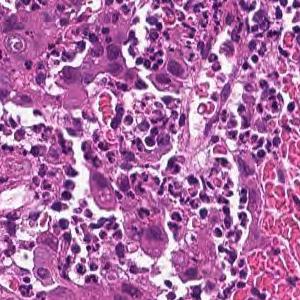
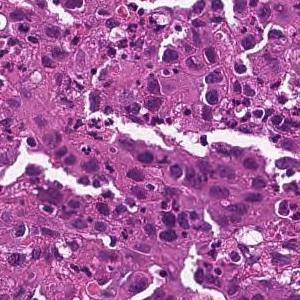
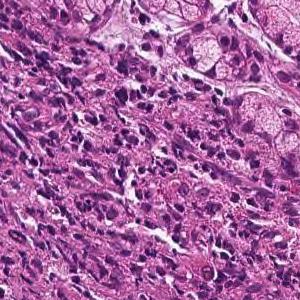
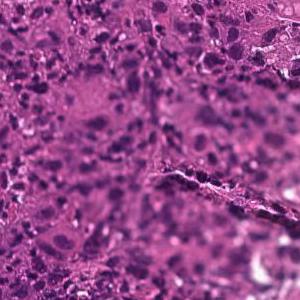
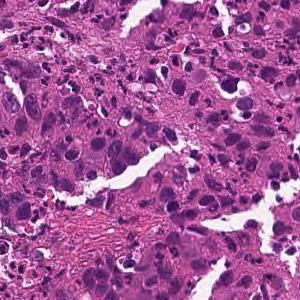
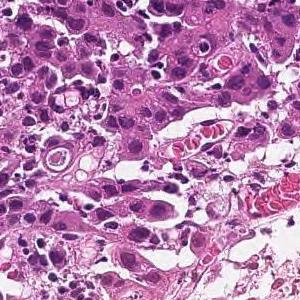
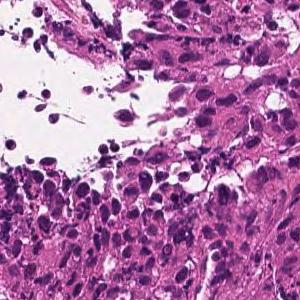
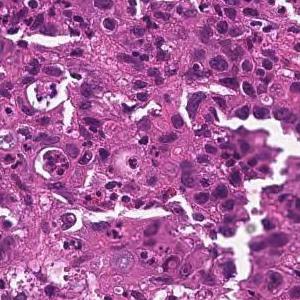
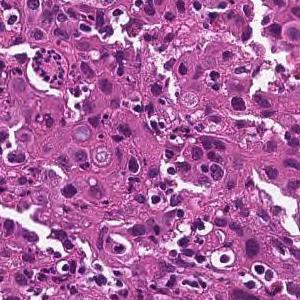
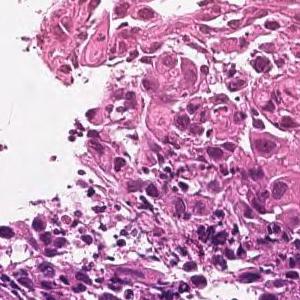
10 tiles cut from one stomach biopsy slide, H&E.
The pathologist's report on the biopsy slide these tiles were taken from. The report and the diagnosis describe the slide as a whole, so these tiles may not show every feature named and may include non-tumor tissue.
The superficial epithelium shows a large sheet-like shape, and some tumor tissue infiltrates with small irregular ducts. Poorly differentiated adenocarcinoma, solid-type
Histologic type: Poorly differentiated adenocarcinoma, solid type (Japanese Classification of Gastric Carcinoma). The WHO 2019 equivalent is tubular adenocarcinoma, poorly differentiated.
